Scanned at ×20, 13 tiles cut from one stomach biopsy slide, each 300 × 300 pixels.
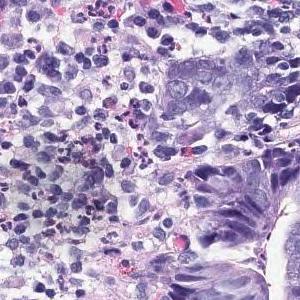
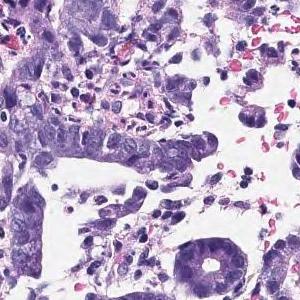
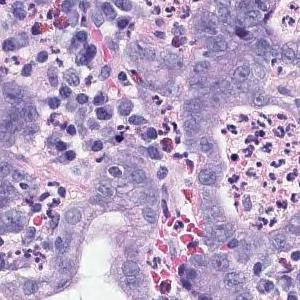
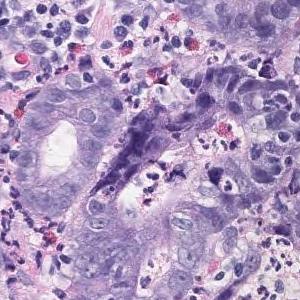
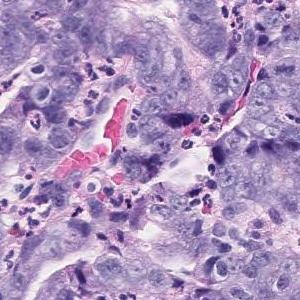
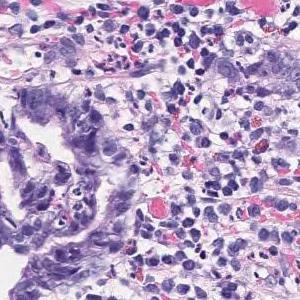
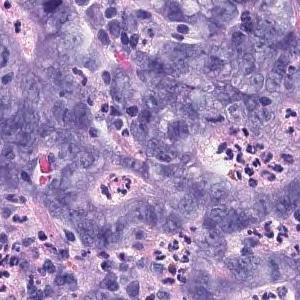
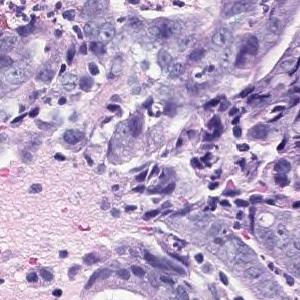
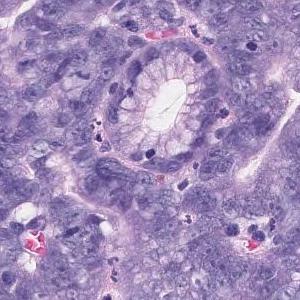
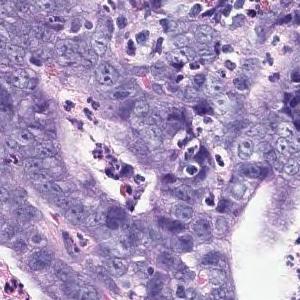
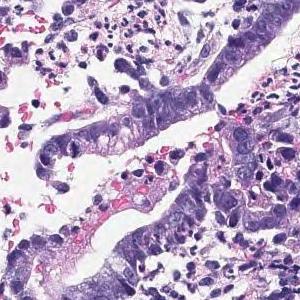
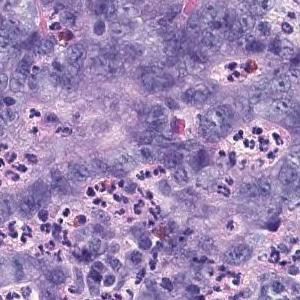
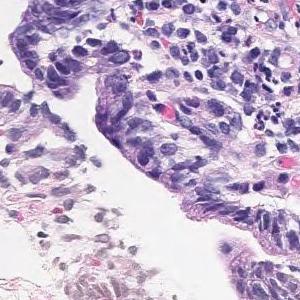
Diagnostic report for the slide these tiles come from. The findings and the diagnosis refer to the entire slide; these tiles show only part of it, possibly with non-tumor tissue, and may not show every feature named.
In the superficial epithelium, tumor tissue that invades by forming medium-sized to small, irregular ducts is observed. Moderately differentiated adenocarcinoma.
Subtype: Moderately differentiated tubular adenocarcinoma.
